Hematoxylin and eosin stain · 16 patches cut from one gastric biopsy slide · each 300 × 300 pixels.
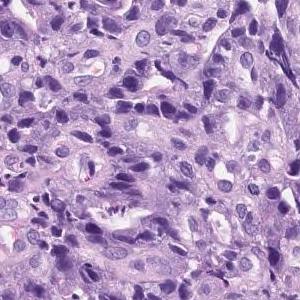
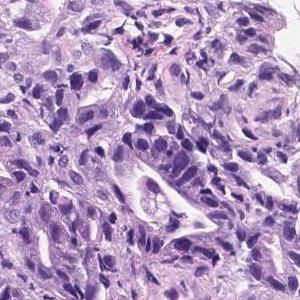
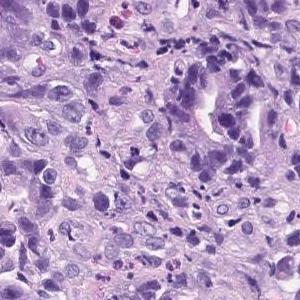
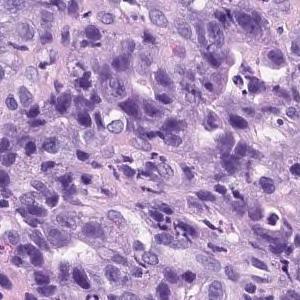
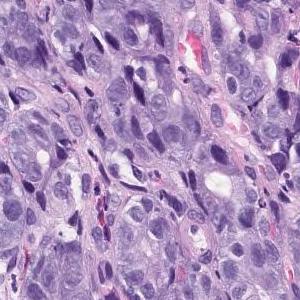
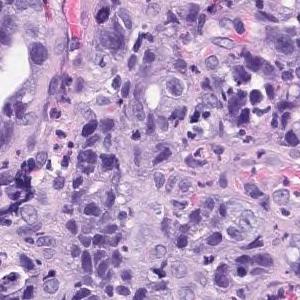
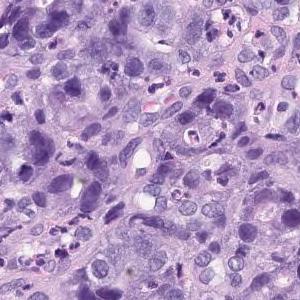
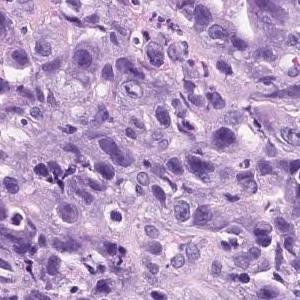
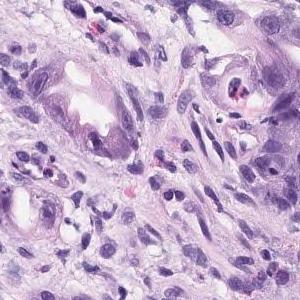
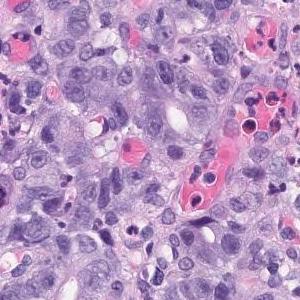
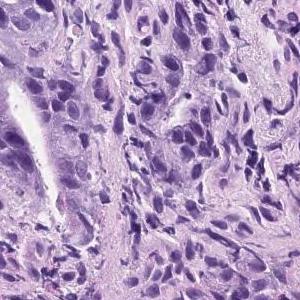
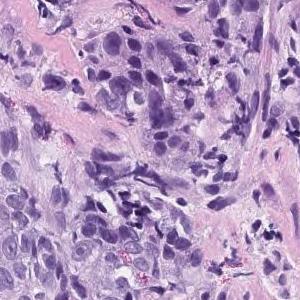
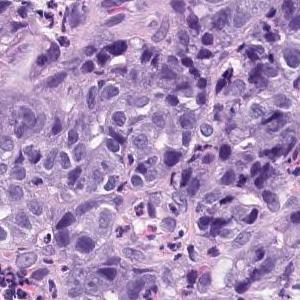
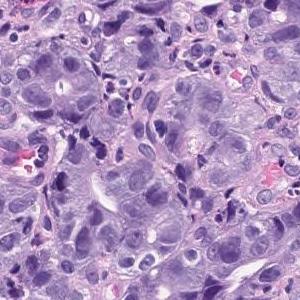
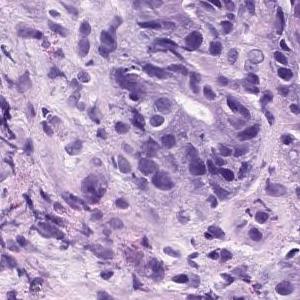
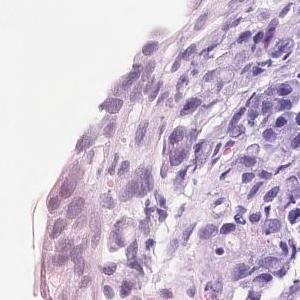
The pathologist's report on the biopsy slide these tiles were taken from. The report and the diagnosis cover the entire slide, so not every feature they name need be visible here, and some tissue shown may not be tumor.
In the superficial epithelium, tumor tissue that invades by forming medium-sized to small, irregular ducts is observed. Moderately differentiated adenocarcinoma.
Tumor subtype: moderately differentiated tubular adenocarcinoma.
